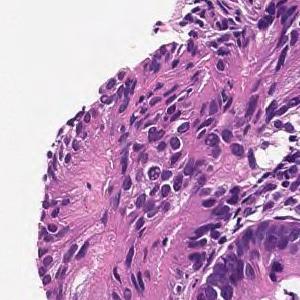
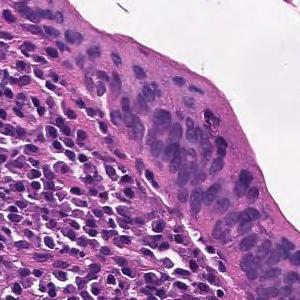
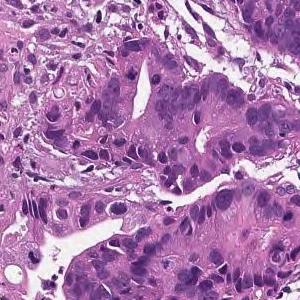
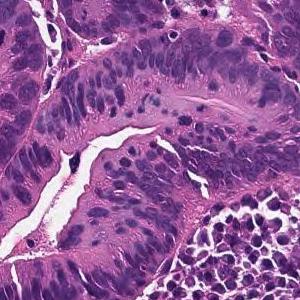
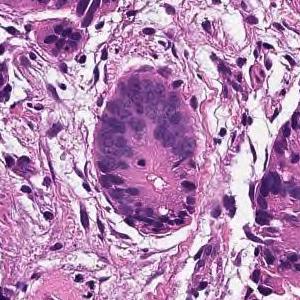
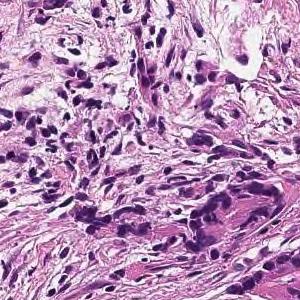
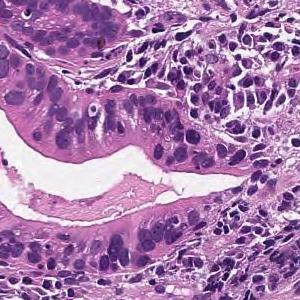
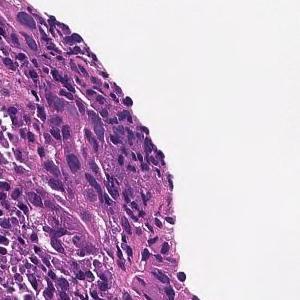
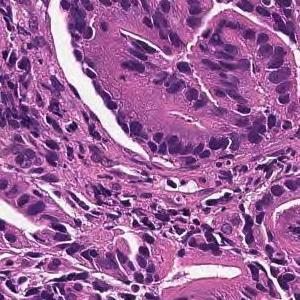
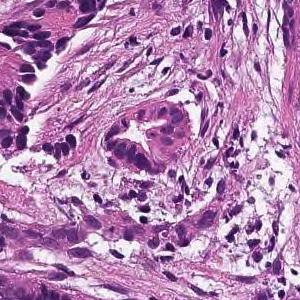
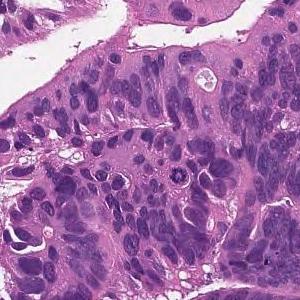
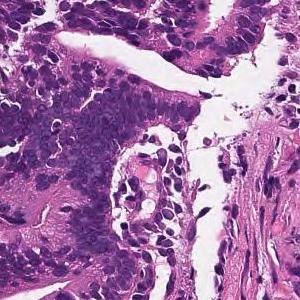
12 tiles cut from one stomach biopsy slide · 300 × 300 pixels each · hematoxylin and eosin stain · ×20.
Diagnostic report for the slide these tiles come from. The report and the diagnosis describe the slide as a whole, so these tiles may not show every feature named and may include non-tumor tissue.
From the superficial epithelium to the muscularis mucosae, tumor tissue consisting of medium-sized and irregular glandular ducts infiltrating is observed. Well differentiated tubular adenocarcinoma
